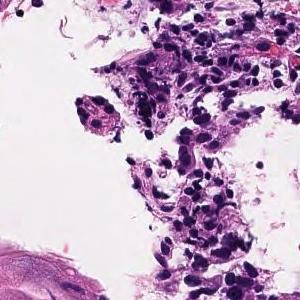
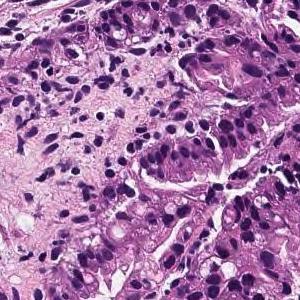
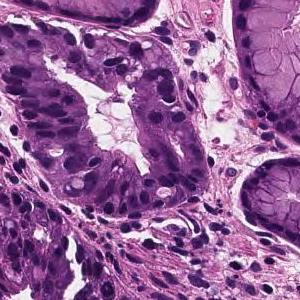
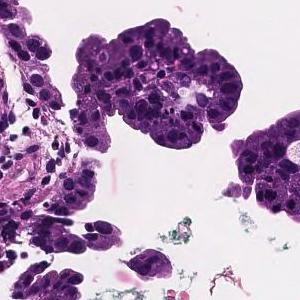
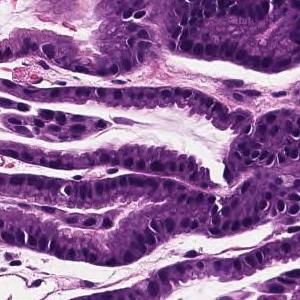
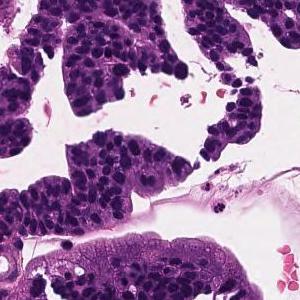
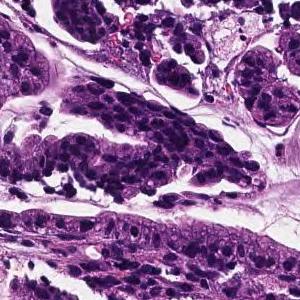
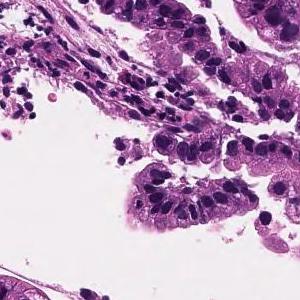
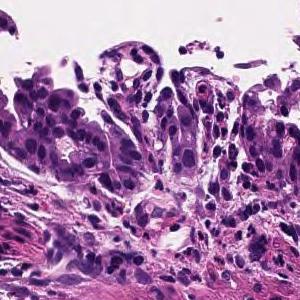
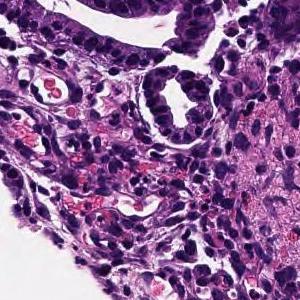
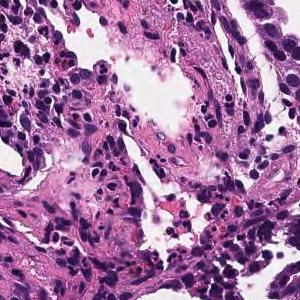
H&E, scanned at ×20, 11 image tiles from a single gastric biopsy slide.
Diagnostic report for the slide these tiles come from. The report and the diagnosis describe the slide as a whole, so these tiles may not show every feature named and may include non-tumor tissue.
On the superficial epithelium, tumor tissue that infiltrates by forming medium-sized papillary or small irregular ducts is observed. Papillary adenocarcinoma
